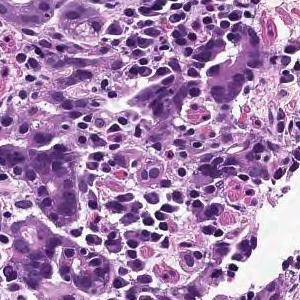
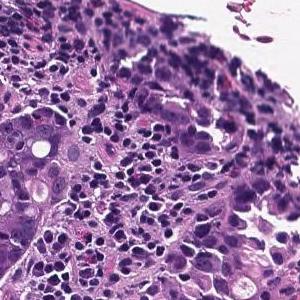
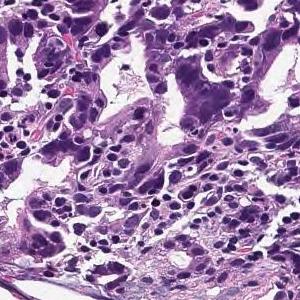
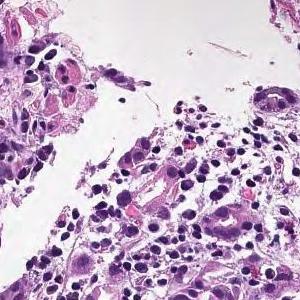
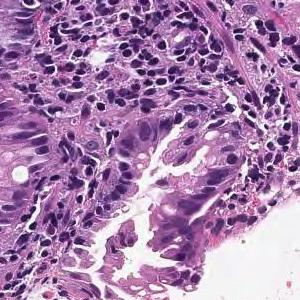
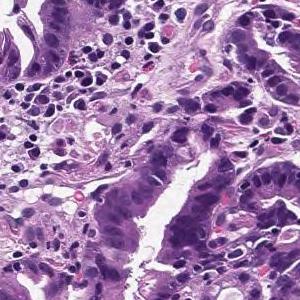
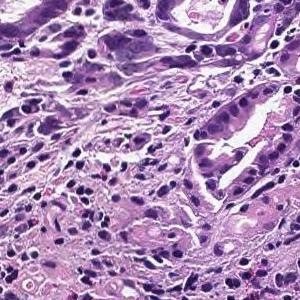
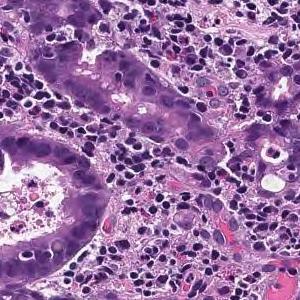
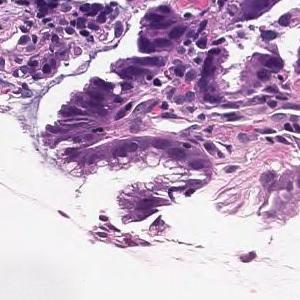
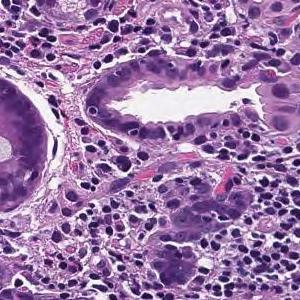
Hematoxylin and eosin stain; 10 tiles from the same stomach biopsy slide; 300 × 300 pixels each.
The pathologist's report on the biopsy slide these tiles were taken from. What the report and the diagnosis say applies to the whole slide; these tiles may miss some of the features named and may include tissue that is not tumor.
In the superficial epithelium, tumor tissue that invades by forming medium-sized to small, irregular ducts is observed. moderately differentiated tubular adenocarcinoma.
